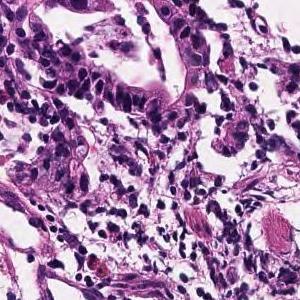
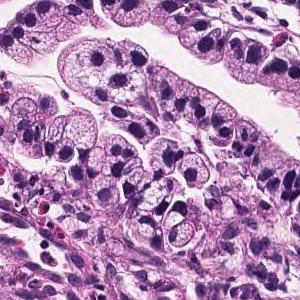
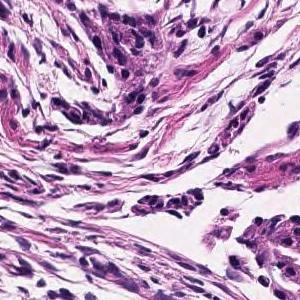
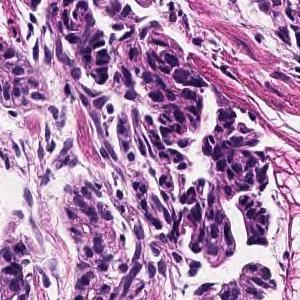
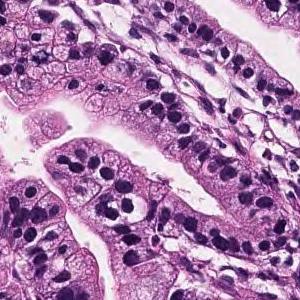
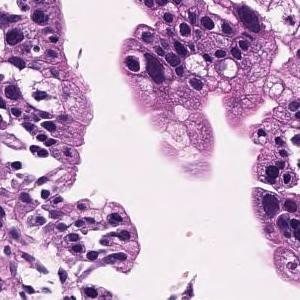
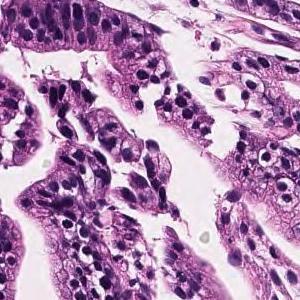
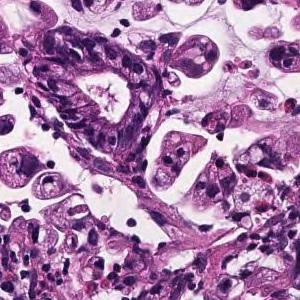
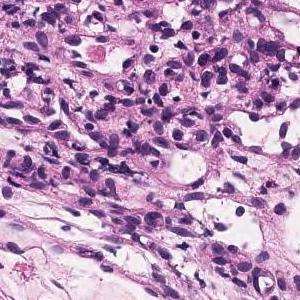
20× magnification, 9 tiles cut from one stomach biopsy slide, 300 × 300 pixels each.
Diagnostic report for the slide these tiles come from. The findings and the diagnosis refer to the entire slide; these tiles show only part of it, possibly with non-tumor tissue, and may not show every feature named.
Tumor tissue consisting of large papillary structures or irregular glandular ducts partially fused and infiltrated is observed in the superficial epithelium. Well to moderately differentiated tubular adenocarcinoma.
Labeled in the dataset as moderately differentiated tubular adenocarcinoma.
